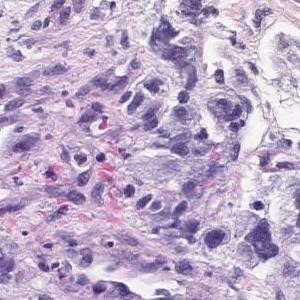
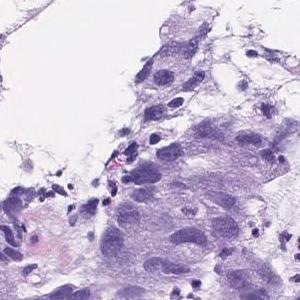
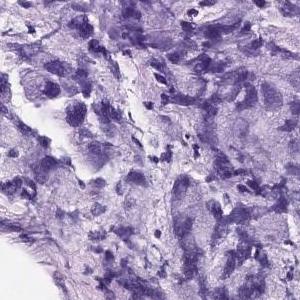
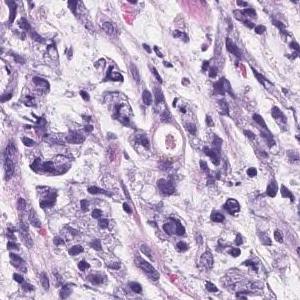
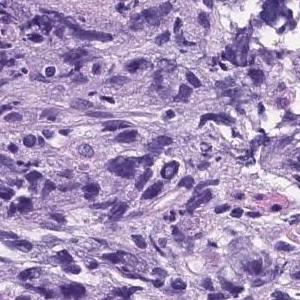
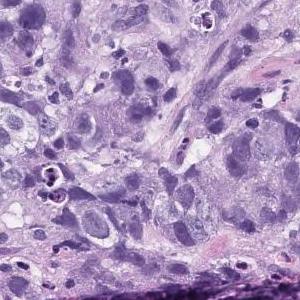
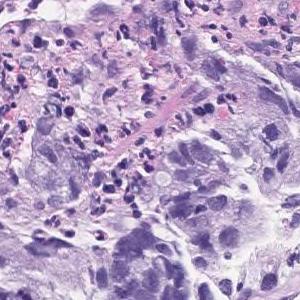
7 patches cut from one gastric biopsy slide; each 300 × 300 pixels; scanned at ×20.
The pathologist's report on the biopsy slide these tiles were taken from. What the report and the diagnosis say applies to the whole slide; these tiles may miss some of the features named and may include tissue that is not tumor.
Atypical l cells with atypical nuclei forming solid vesicles or small irregular atypical ducts that proliferate in a complex manner. poorly differentiated adenocarcinoma, solid type, moderately differentiated tubular adenocarcinoma
The solid type named here is a Japanese Classification of Gastric Carcinoma category; WHO 2019 calls it tubular adenocarcinoma, poorly differentiated.
